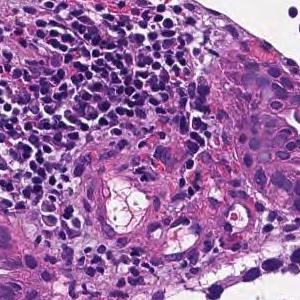
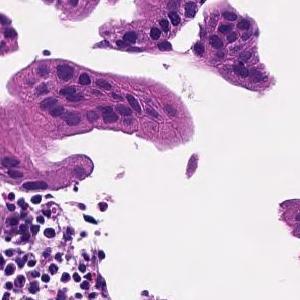
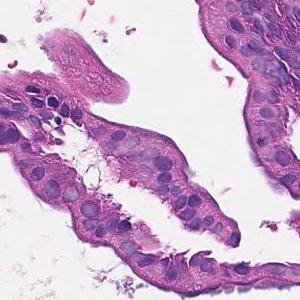
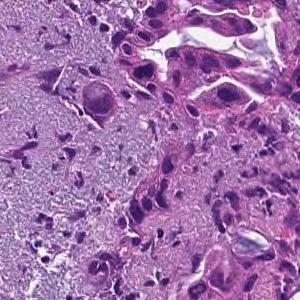
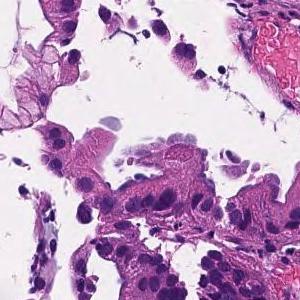
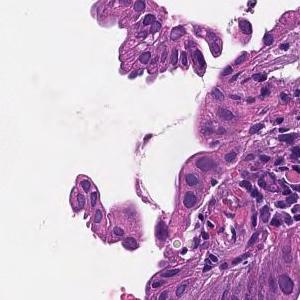
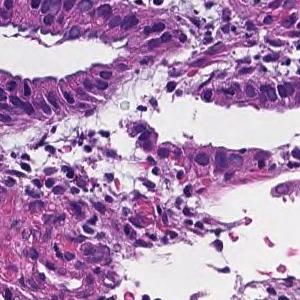
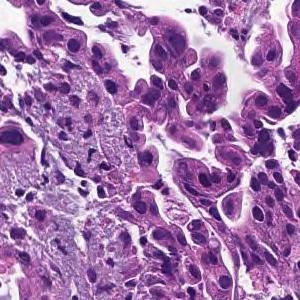
8 tiles cut from one stomach biopsy slide, H&E stain.
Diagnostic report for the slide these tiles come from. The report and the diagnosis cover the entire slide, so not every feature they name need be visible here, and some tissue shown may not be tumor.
On the superficial epithelium, tumor tissue that infiltrates by forming medium-sized papillary or small irregular ducts is observed. Papillary adenocarcinoma
